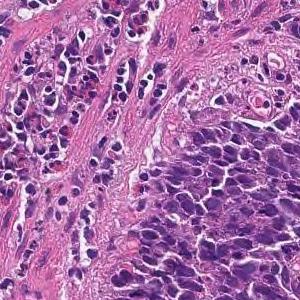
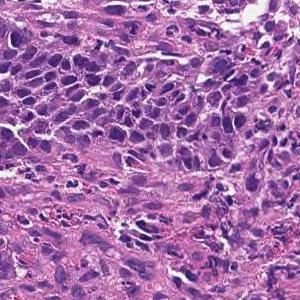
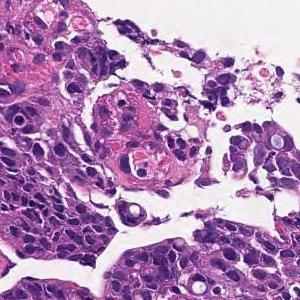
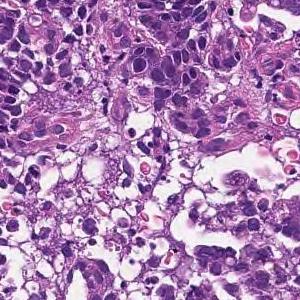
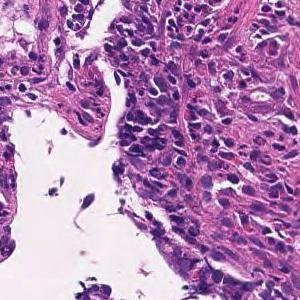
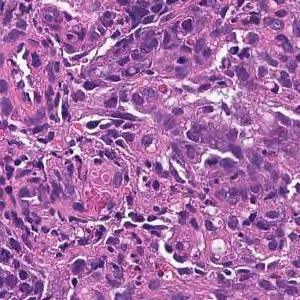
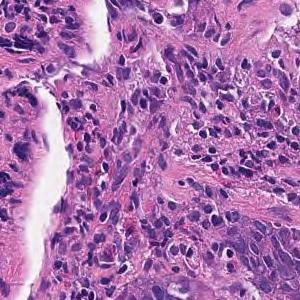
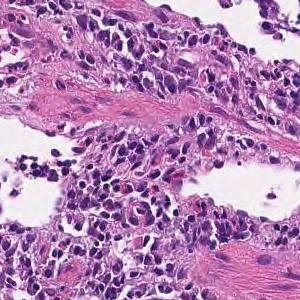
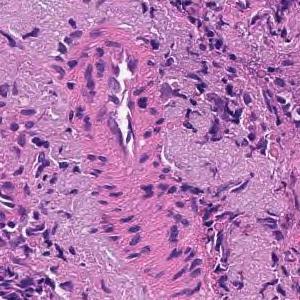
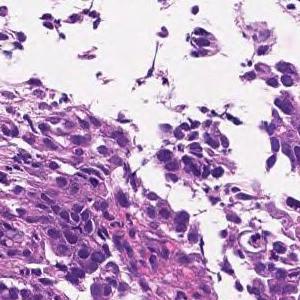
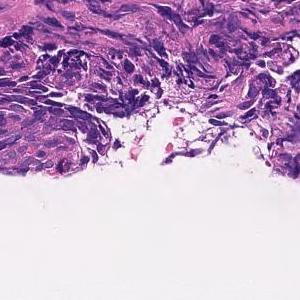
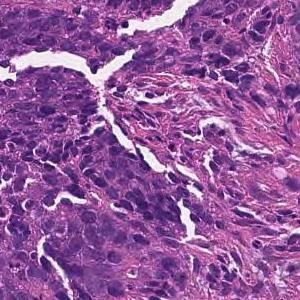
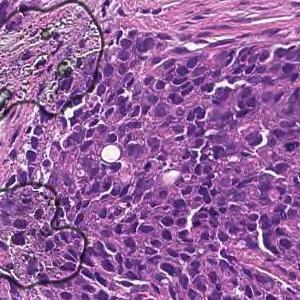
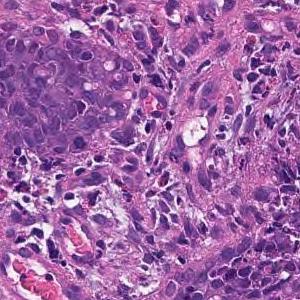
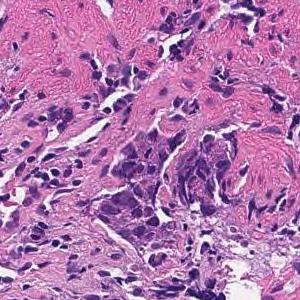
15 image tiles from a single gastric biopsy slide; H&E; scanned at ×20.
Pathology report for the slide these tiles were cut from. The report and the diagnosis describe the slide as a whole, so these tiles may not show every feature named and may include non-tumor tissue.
Tumor tissue consisting of cord-like or small, irregular glandular ducts fused and infiltrated is observed in the superficial epithelium. Poorly differentiated adenocarcinoma, non-solid type
The non-solid type named here is a Japanese Classification of Gastric Carcinoma category.
